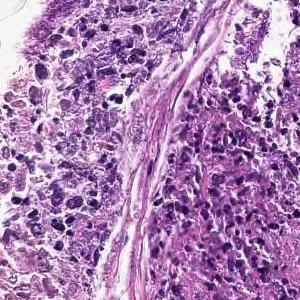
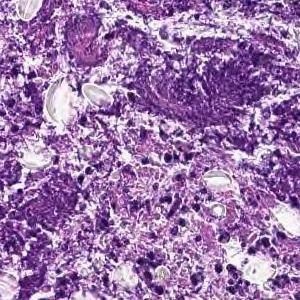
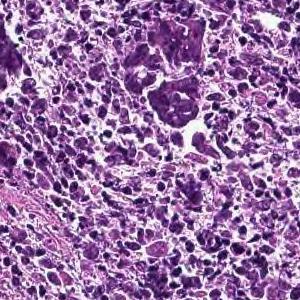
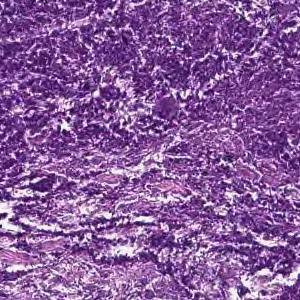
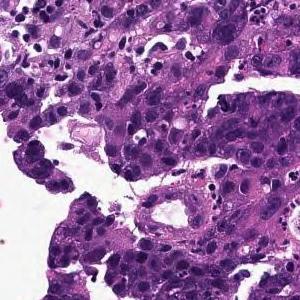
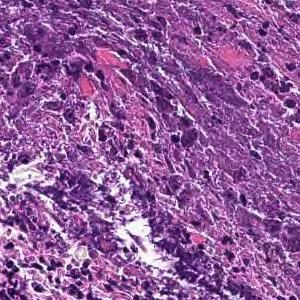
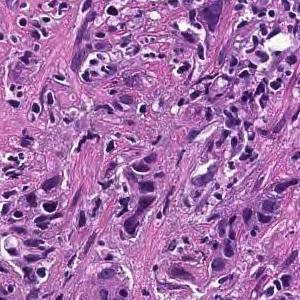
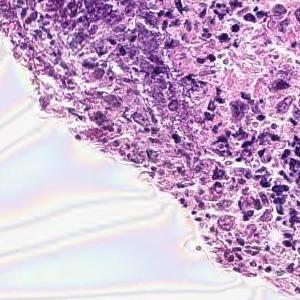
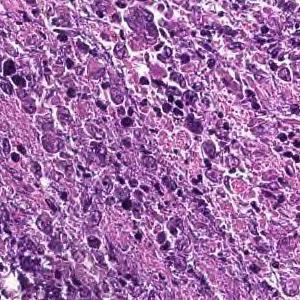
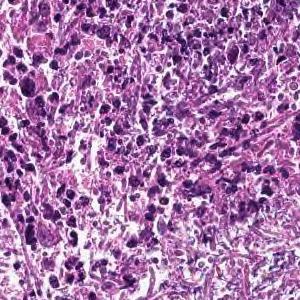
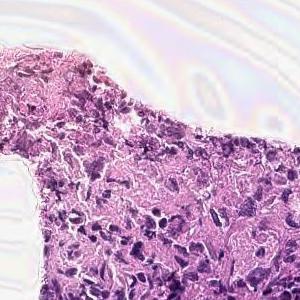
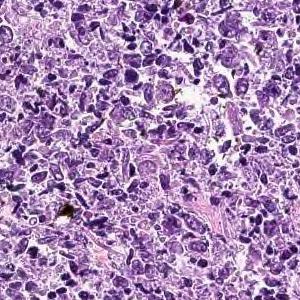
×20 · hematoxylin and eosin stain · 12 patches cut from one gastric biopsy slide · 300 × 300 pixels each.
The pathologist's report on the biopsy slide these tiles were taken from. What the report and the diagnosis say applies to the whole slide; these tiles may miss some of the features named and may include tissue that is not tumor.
Cancers with polygonal nuclei do not show glandular formation and are densely, in part, cord-like and proliferate. Poorly differentiated adenocarcinoma
Subtype: Poorly differentiated adenocarcinoma, non-solid type.
"Non-solid type" is a category of the Japanese Classification of Gastric Carcinoma.
